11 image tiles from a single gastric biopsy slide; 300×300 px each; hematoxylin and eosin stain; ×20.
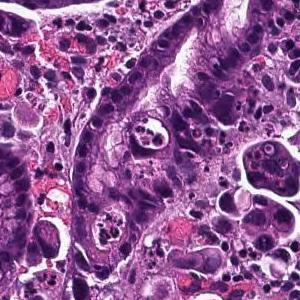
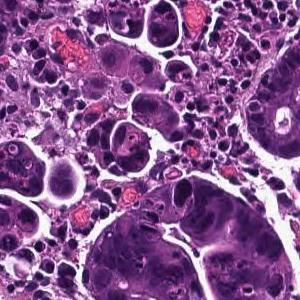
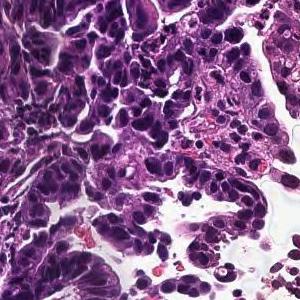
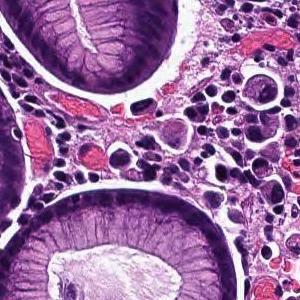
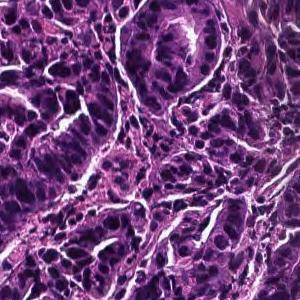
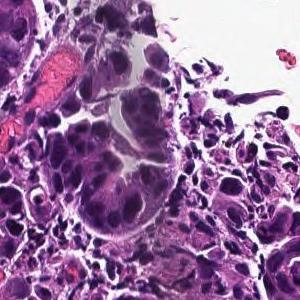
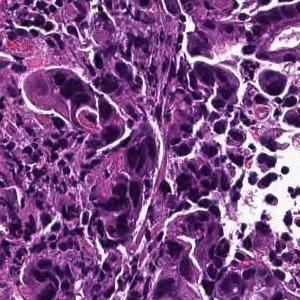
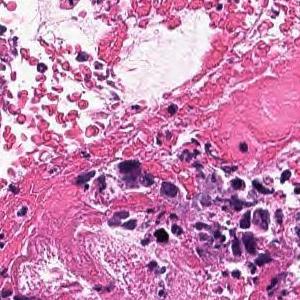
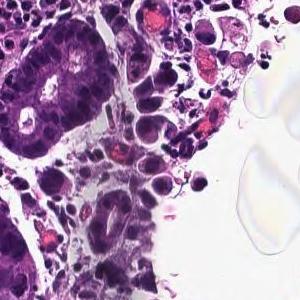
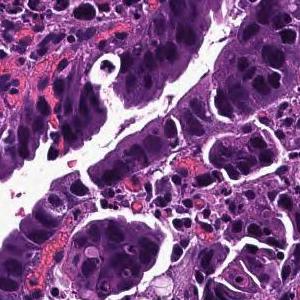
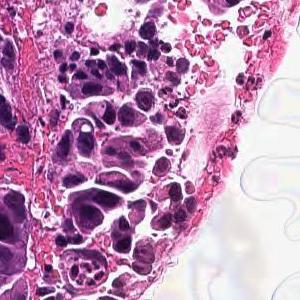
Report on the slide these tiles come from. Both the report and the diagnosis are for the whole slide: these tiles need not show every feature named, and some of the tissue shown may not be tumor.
Tumor tissue consisting of medium-sized, cord-like or irregular glandular infiltration is observed in the superficial epithelium. Poorly differentiated adenocarcinoma, non-solid type or moderately differentiated tubular adenocarcinoma
Histological subtype: Moderately to poorly differentiated adenocarcinoma.
"Non-solid type" is a category of the Japanese Classification of Gastric Carcinoma.
